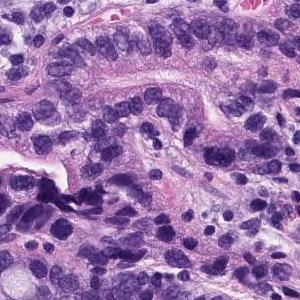
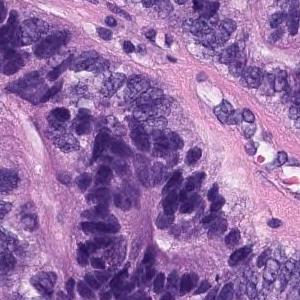
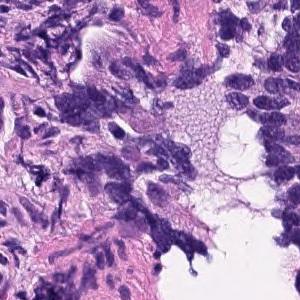
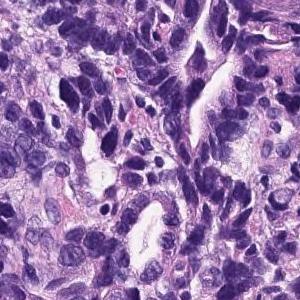
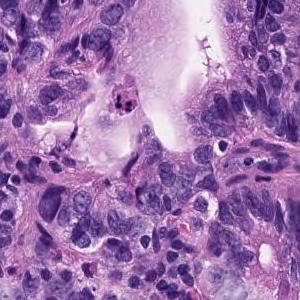
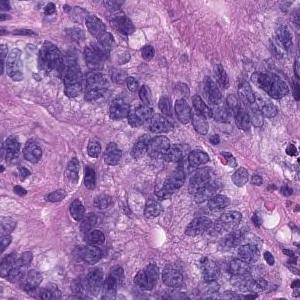
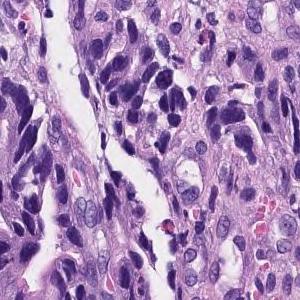
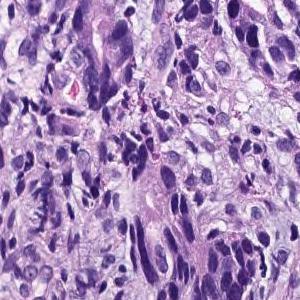
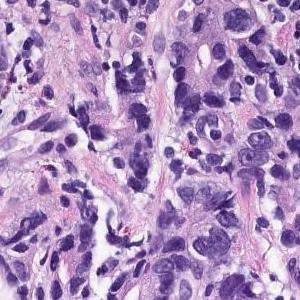
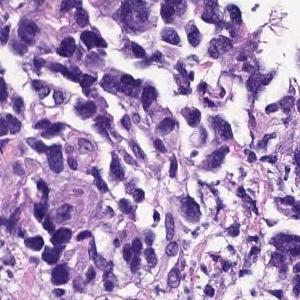
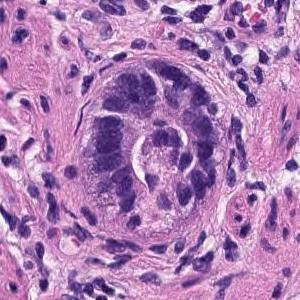
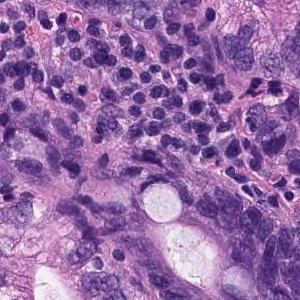
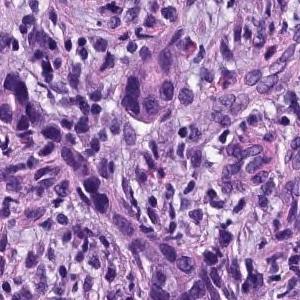
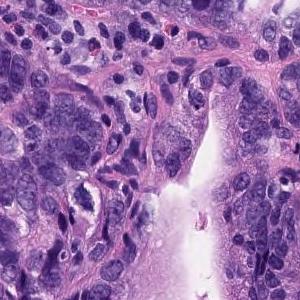
Scanned at ×20, 14 tiles from the same stomach biopsy slide.
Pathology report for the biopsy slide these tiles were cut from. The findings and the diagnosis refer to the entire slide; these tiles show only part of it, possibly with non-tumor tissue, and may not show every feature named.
On the superficial epithelium, tumor tissue consisting of images showing invasive growth with small, irregular tubules partially fused is observed. moderately differentiated tubular adenocarcinoma
